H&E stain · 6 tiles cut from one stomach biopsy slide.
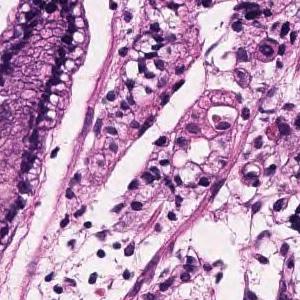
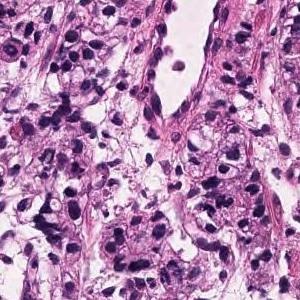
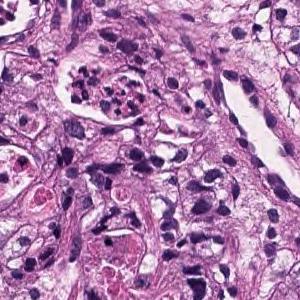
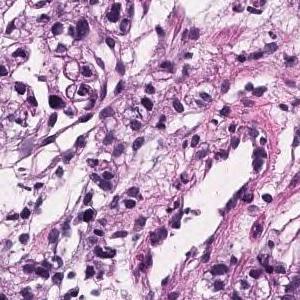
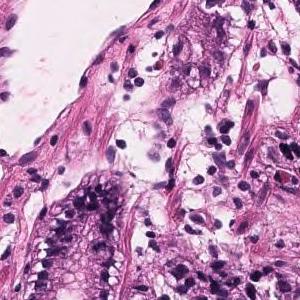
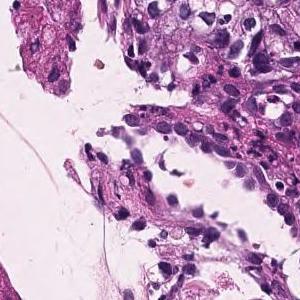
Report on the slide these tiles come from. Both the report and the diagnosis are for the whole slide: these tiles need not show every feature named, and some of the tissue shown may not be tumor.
Medium to small, irregular glandular ducts are formed in the superficial epithelium, and in some cases, the glandular ducts are fused to show solid alveolar lesions and infiltrating tumor tissue is observed. Moderately to poorly differentiated adenocarcinoma.
